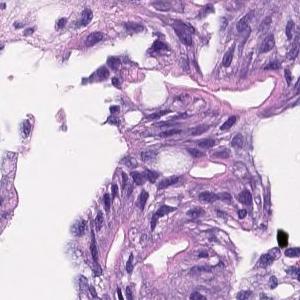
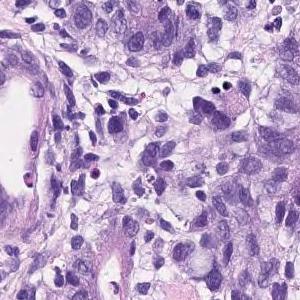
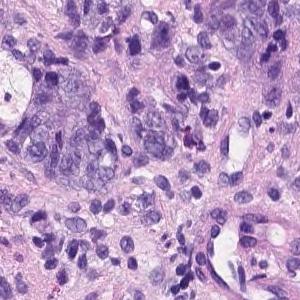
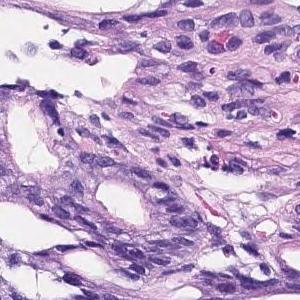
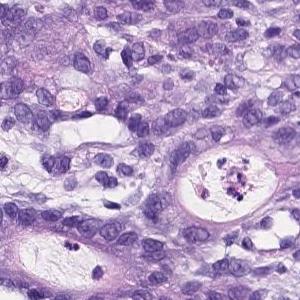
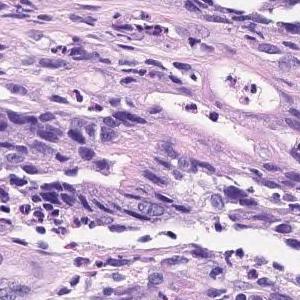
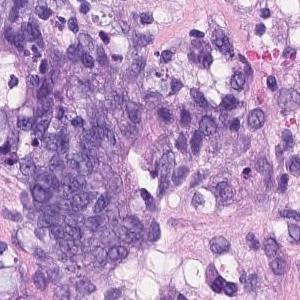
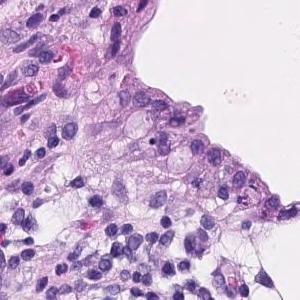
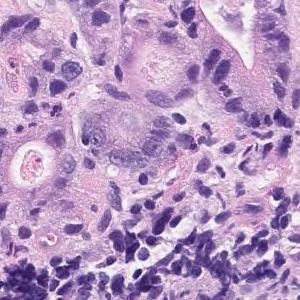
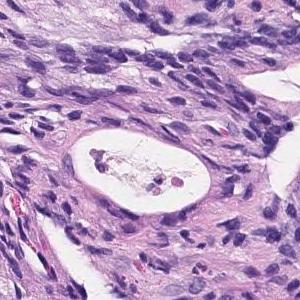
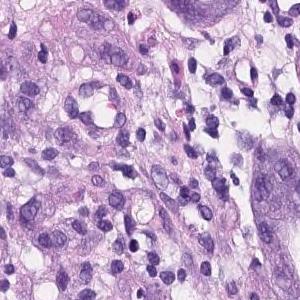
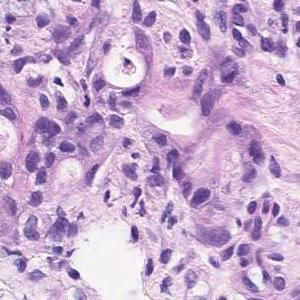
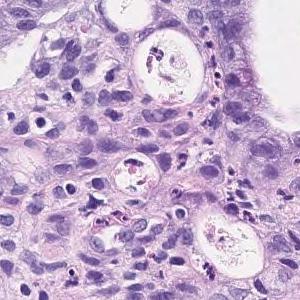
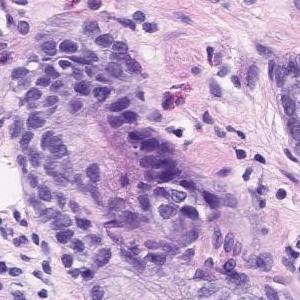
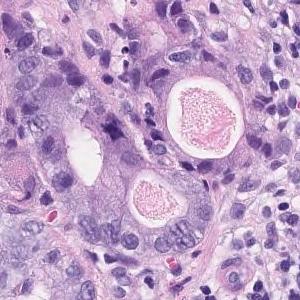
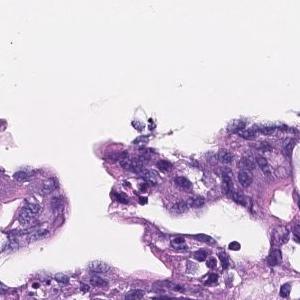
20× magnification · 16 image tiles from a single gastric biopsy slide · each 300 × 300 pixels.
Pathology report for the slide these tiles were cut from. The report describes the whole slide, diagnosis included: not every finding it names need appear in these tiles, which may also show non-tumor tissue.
Irregularly fused atypical ducts proliferating while replacing existing ducts was observed. moderately differentiated tubular adenocarcinoma
